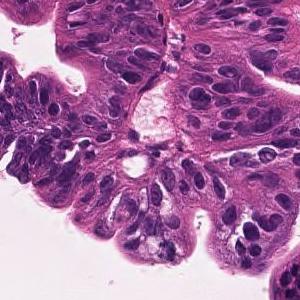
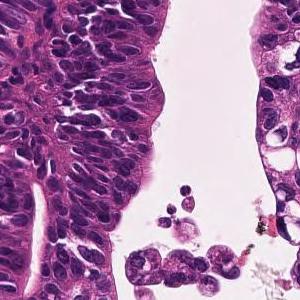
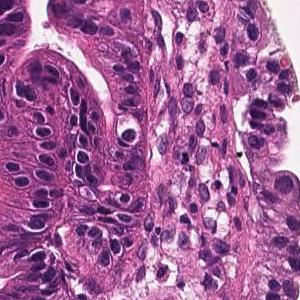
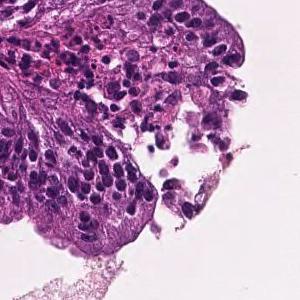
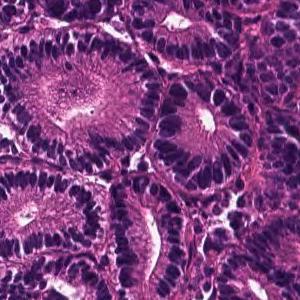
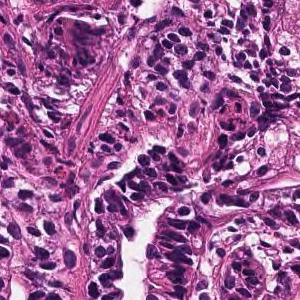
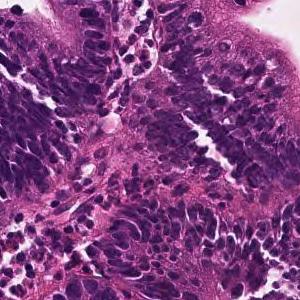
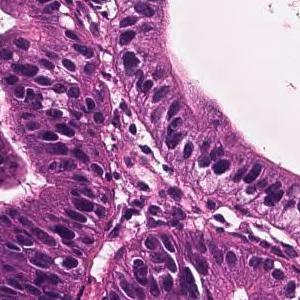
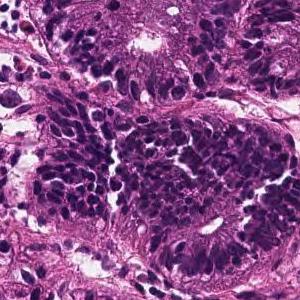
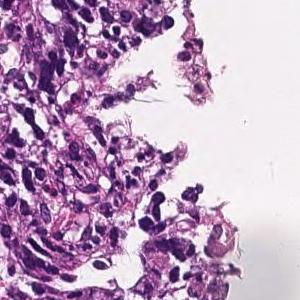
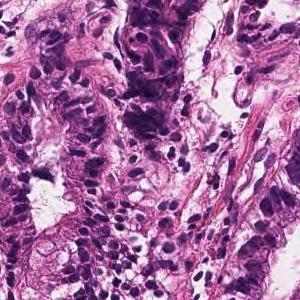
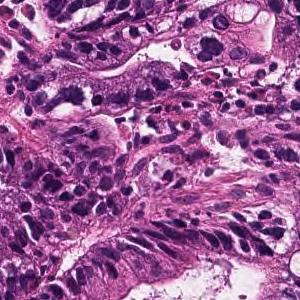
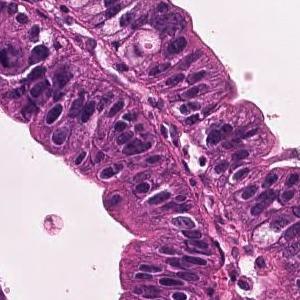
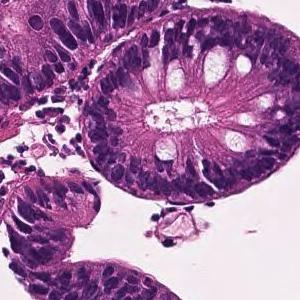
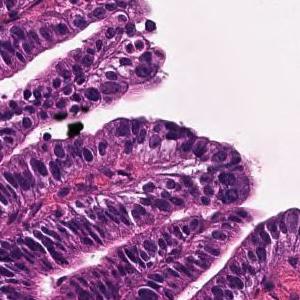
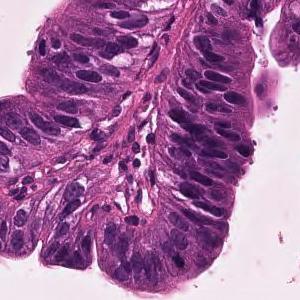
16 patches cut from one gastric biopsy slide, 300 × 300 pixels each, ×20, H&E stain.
Report on the slide these tiles come from. The findings and the diagnosis refer to the entire slide; these tiles show only part of it, possibly with non-tumor tissue, and may not show every feature named.
A large irregular tubular structure is exhibited in the epithelium, and tumor tissue that partially fuses and infiltrates and proliferates is observed. Large columnar tumor cells exhibit enlarged nucleus, hyperchromatism, and mitotic figures. Well differentiated tubular adenocarcinoma
